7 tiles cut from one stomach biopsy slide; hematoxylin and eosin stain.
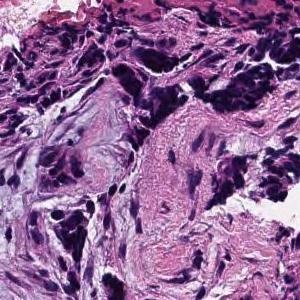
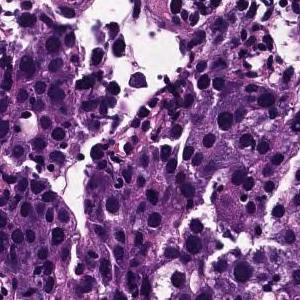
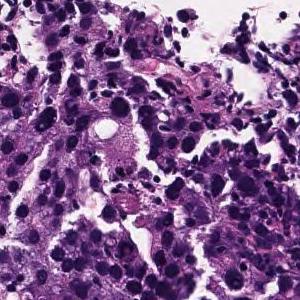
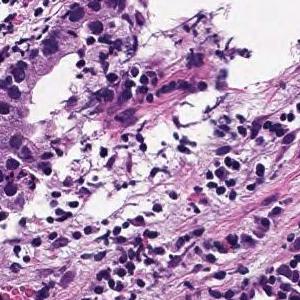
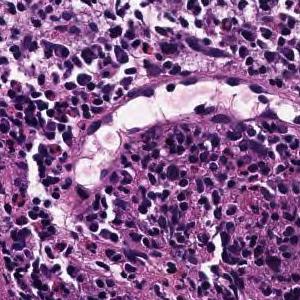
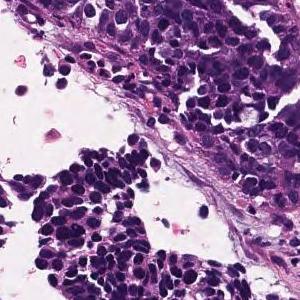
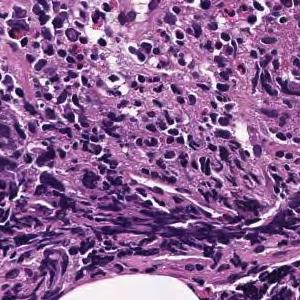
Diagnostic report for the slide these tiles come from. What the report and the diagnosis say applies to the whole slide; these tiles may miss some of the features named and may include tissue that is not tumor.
Medium to small, irregular glandular ducts are formed in the superficial epithelium, and in some cases, the glandular ducts are fused to show solid alveolar lesions and infiltrating tumor tissue is observed. Moderately to poorly differentiated adenocarcinoma.
